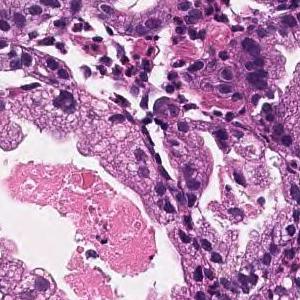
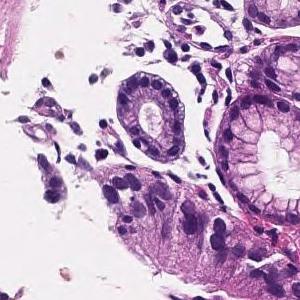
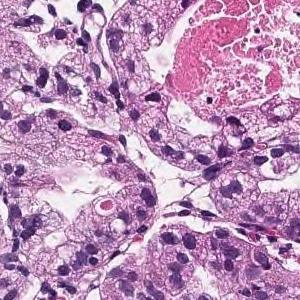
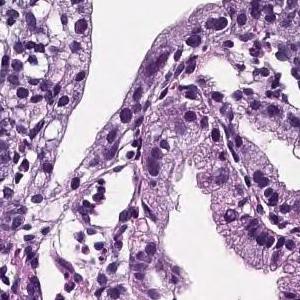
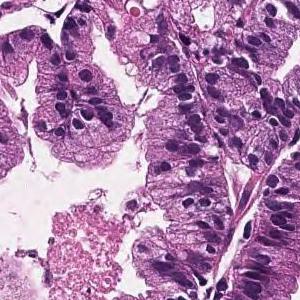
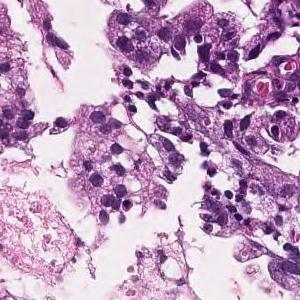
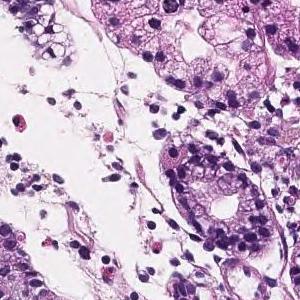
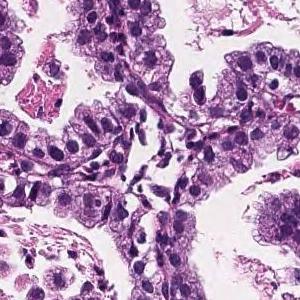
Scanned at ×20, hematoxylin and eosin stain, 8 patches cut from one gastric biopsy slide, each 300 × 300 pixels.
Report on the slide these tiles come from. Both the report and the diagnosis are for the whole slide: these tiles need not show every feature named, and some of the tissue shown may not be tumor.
In the superficial epithelium, tumor tissue that infiltrates by forming medium-sized papillary or small irregular ducts is observed. Papillary adenocarcinoma
